H&E; ×20; 10 tiles from the same stomach biopsy slide; 300×300 px each.
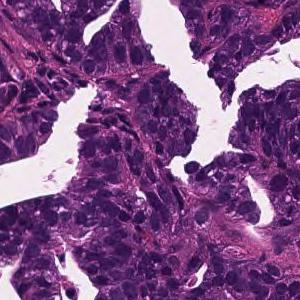
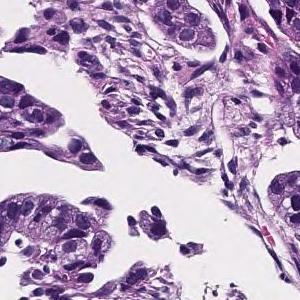
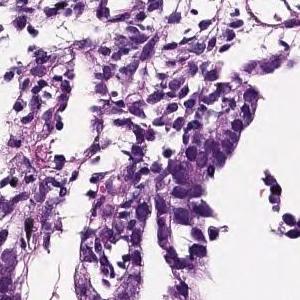
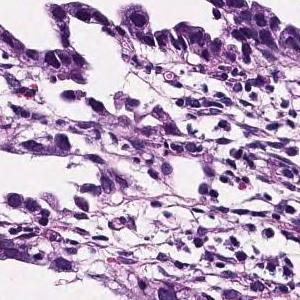
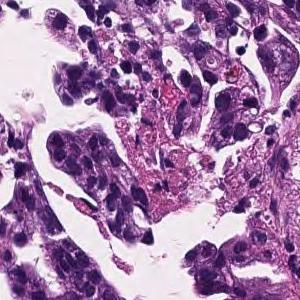
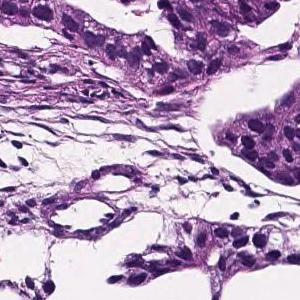
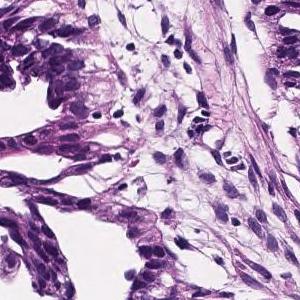
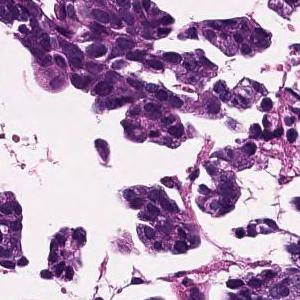
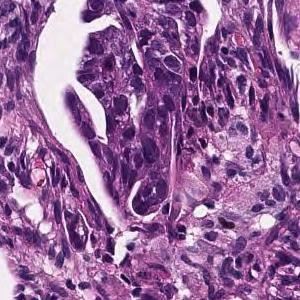
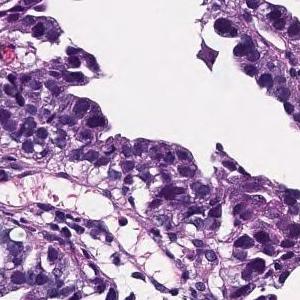
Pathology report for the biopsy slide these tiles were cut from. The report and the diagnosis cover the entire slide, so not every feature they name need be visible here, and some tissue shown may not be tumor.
In the lamina propria, tumor tissue that invades by forming medium-sized to small, irregular glandular ducts is observed. moderately differentiated tubular adenocarcinoma
